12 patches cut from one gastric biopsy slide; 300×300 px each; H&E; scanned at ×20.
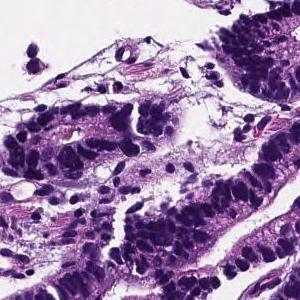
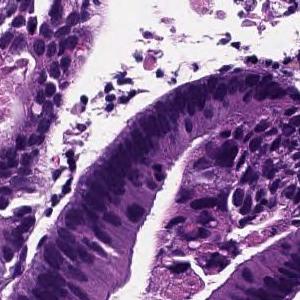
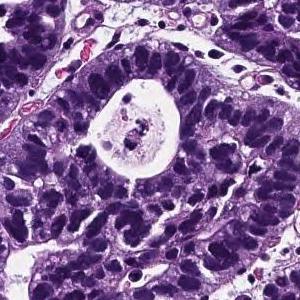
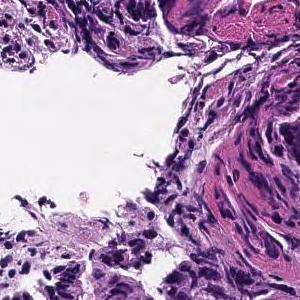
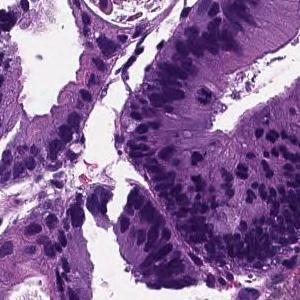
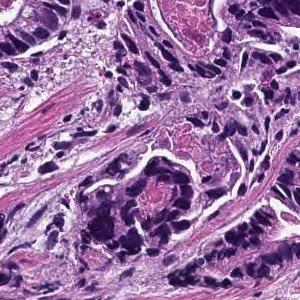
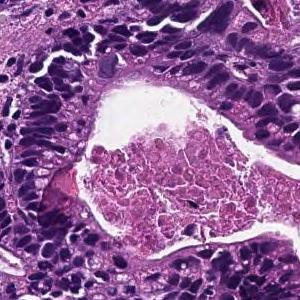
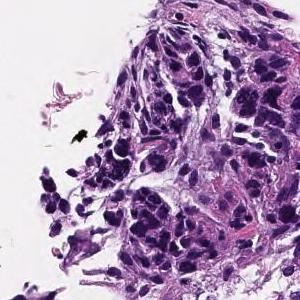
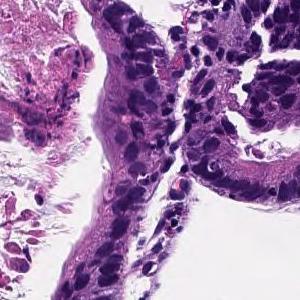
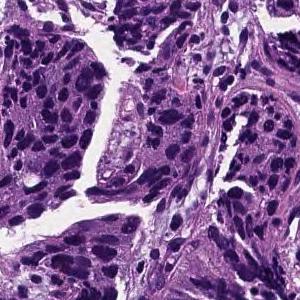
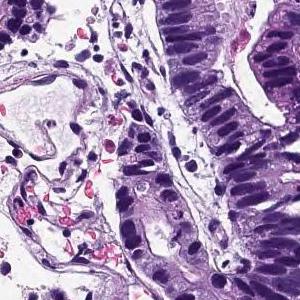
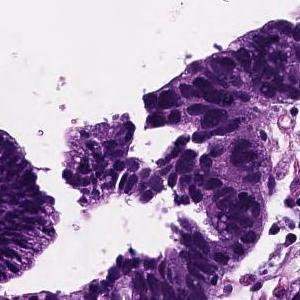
The pathologist's report on the biopsy slide these tiles were taken from. The report and the diagnosis describe the slide as a whole, so these tiles may not show every feature named and may include non-tumor tissue.
From the superficial epithelium to the muscularis mucosae, tumor tissue consisting of medium-sized and irregular glandular ducts infiltrating is observed. Well differentiated tubular adenocarcinoma
